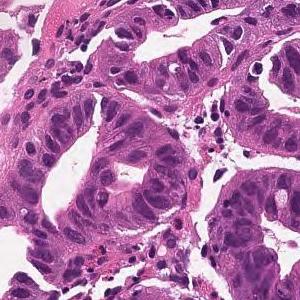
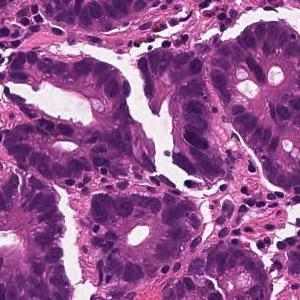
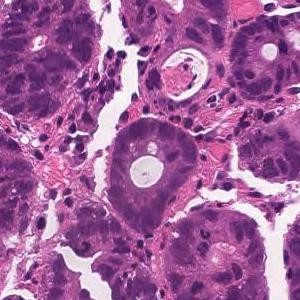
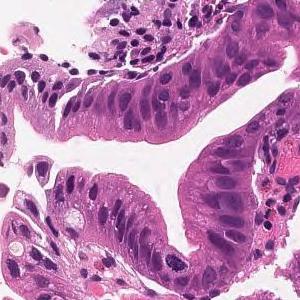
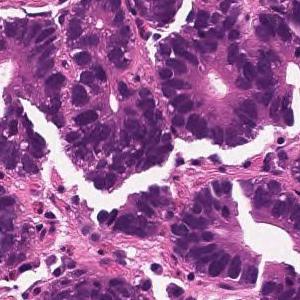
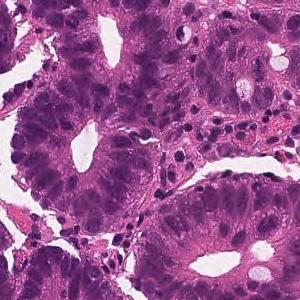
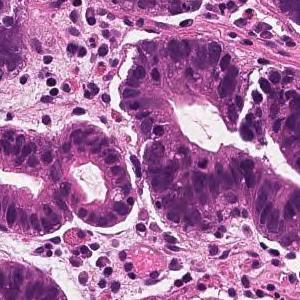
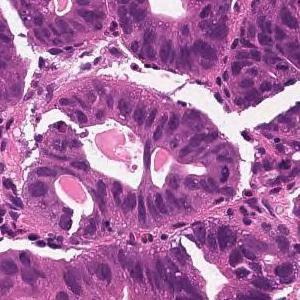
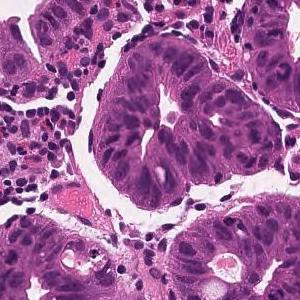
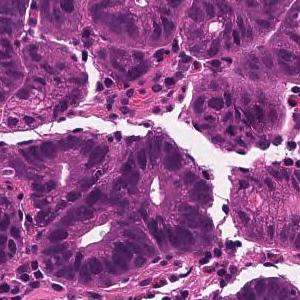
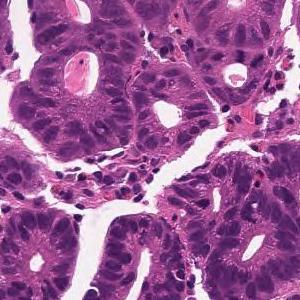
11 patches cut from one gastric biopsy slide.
Pathology report for the biopsy slide these tiles were cut from. What the report and the diagnosis say applies to the whole slide; these tiles may miss some of the features named and may include tissue that is not tumor.
From the superficial epithelium to the muscularis mucosae, tumor tissue consisting of medium-sized and irregular glandular ducts infiltrating is observed. Well differentiated tubular adenocarcinoma
